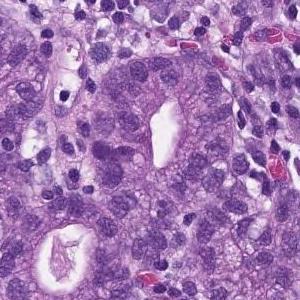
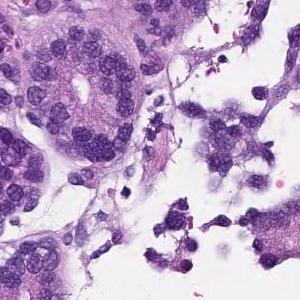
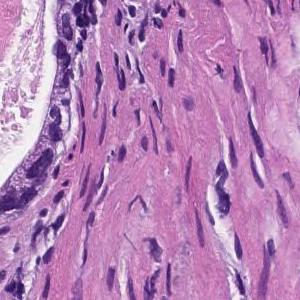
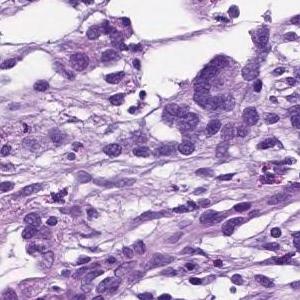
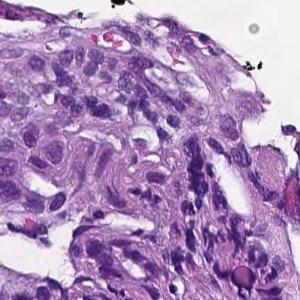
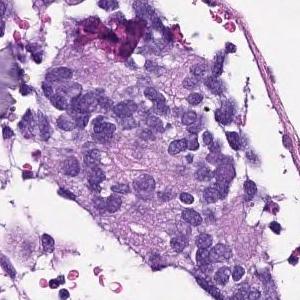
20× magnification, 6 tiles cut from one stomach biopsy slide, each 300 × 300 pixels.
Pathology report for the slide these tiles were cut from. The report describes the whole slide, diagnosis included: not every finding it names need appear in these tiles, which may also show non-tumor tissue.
From the superficial epithelium to the muscularis mucosae, tumor tissue consisting of medium-sized and irregular glandular ducts infiltrating is observed. Well differentiated tubular adenocarcinoma
